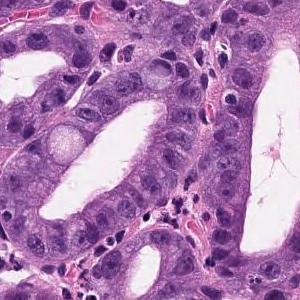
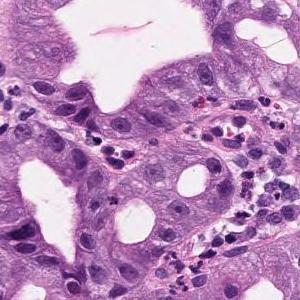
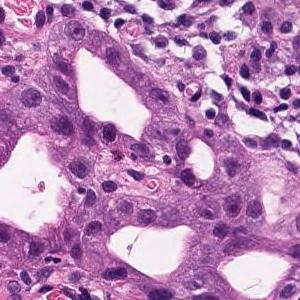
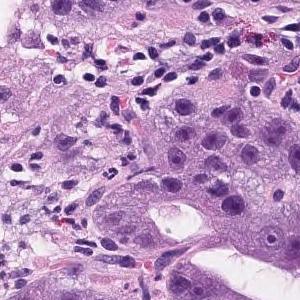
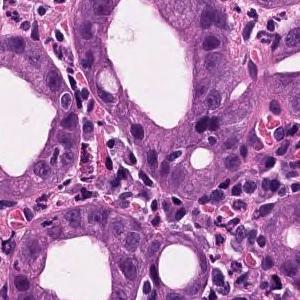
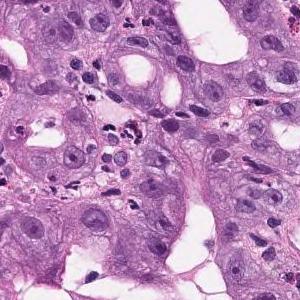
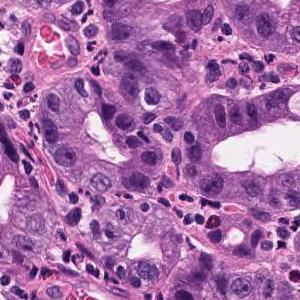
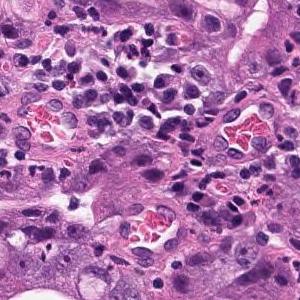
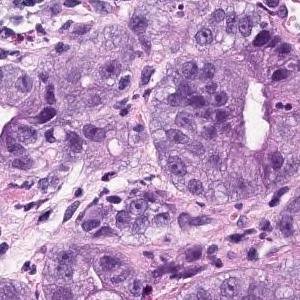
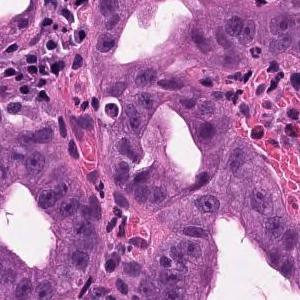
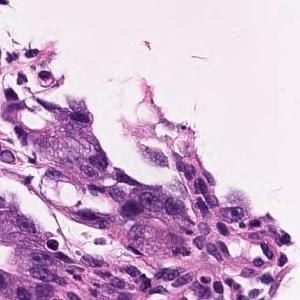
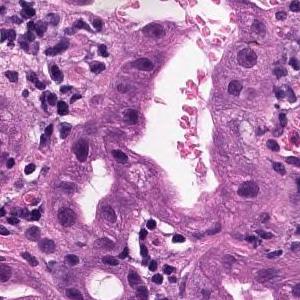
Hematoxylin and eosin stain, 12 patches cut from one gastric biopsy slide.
Diagnostic report for the slide these tiles come from. The report and the diagnosis cover the entire slide, so not every feature they name need be visible here, and some tissue shown may not be tumor.
In the superficial epithelium, tumor tissue that invades by forming medium-sized to small, irregular ducts is observed. Well to moderately differentiated adenocarcinoma (well differentiated tubular adenocarcinoma, moderately differentiated tubular adenocarcinoma).
Histological subtype: Well to moderately differentiated tubular adenocarcinoma.
